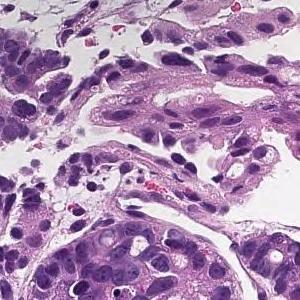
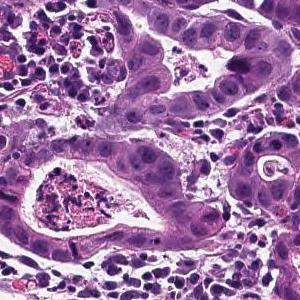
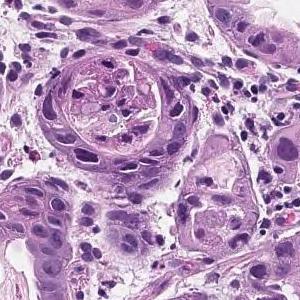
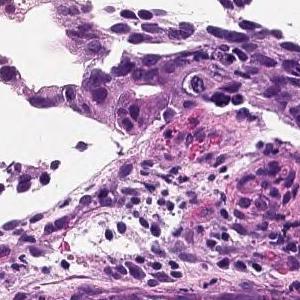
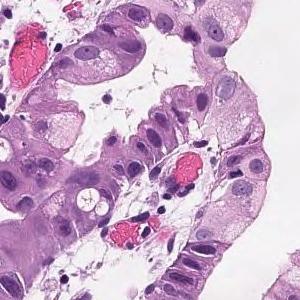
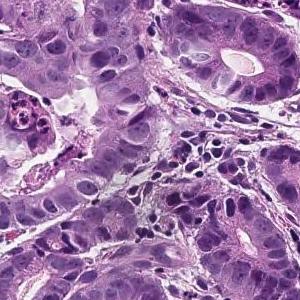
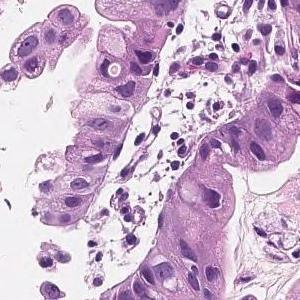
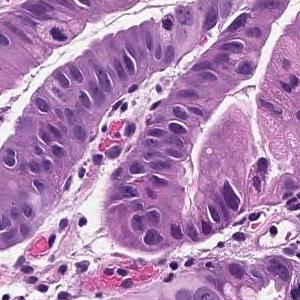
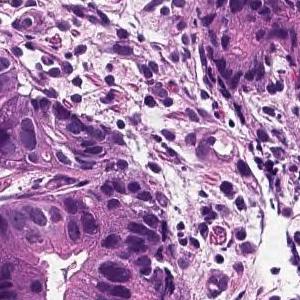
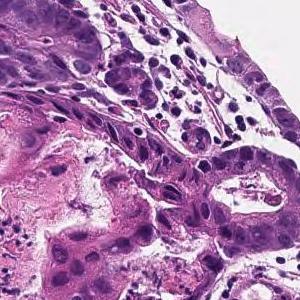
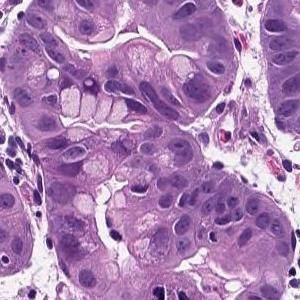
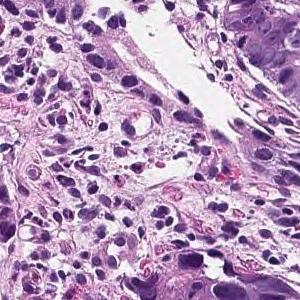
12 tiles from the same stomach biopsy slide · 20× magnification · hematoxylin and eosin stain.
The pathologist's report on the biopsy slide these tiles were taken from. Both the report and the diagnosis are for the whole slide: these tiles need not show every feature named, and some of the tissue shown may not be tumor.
On the superficial epithelium, tumor tissue that infiltrates by forming medium-sized papillary or small irregular ducts is observed. Papillary adenocarcinoma
